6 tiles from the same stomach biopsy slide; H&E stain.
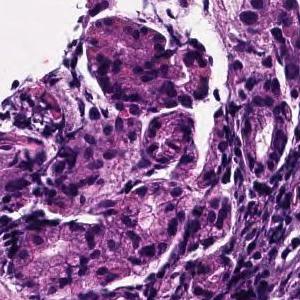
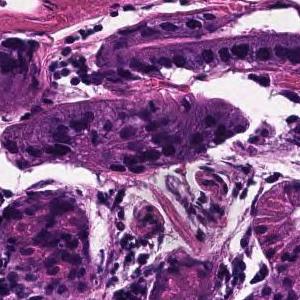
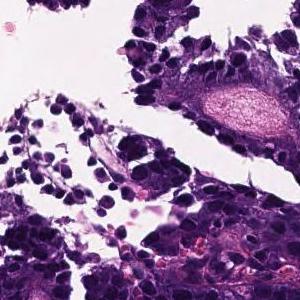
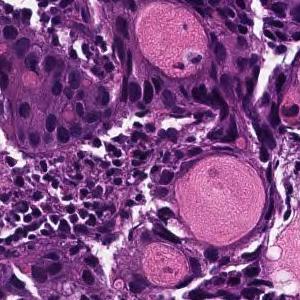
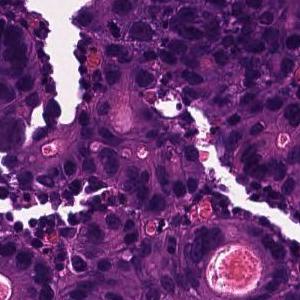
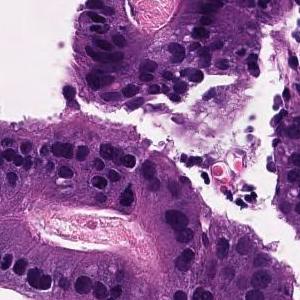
Diagnostic report for the slide these tiles come from. The findings and the diagnosis refer to the entire slide; these tiles show only part of it, possibly with non-tumor tissue, and may not show every feature named.
From the superficial epithelium to the muscularis mucosae, tumor tissue infiltrating by forming medium-sized irregular gland ducts is observed. Large tumor cells exhibit large nucleus and hyperchromatism. Well differentiated tubular adenocarcinoma
